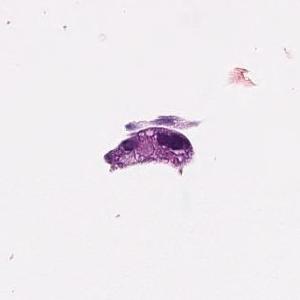
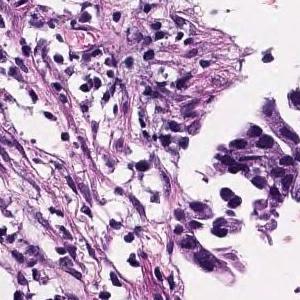
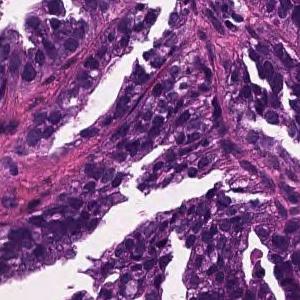
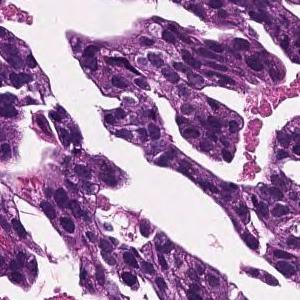
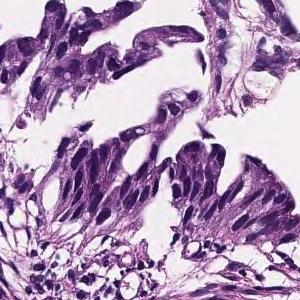
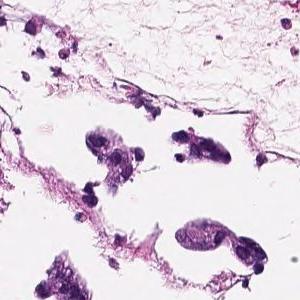
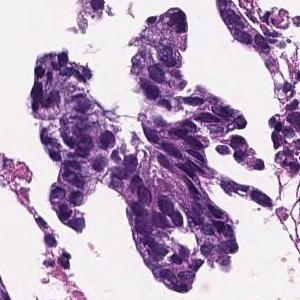
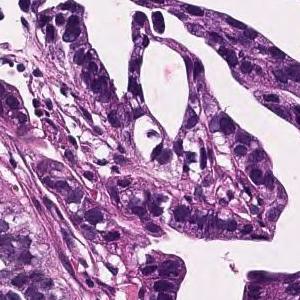
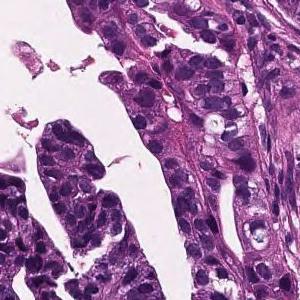
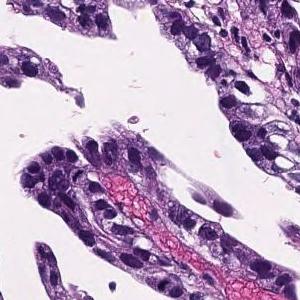
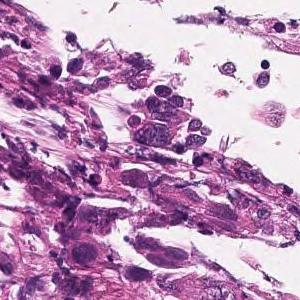
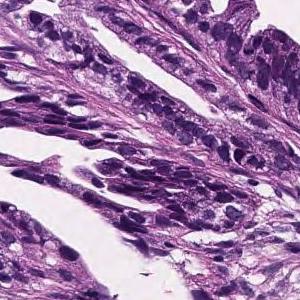
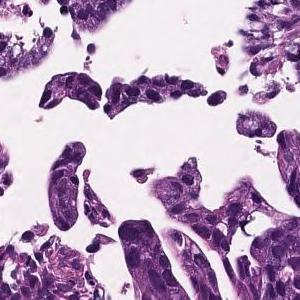
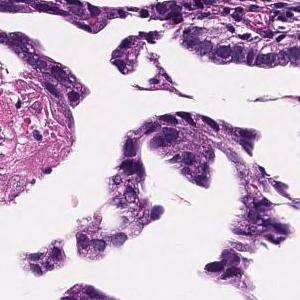
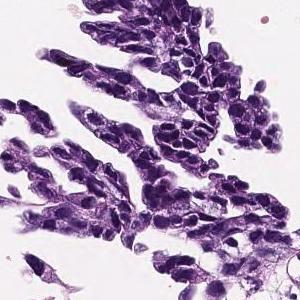
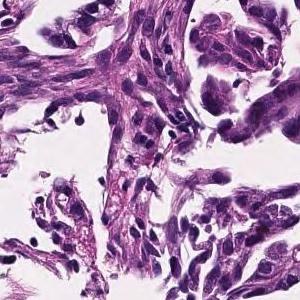
20× magnification, H&E stain, 16 patches cut from one gastric biopsy slide, each 300 × 300 pixels.
Pathology report for the biopsy slide these tiles were cut from. The report describes the whole slide, diagnosis included: not every finding it names need appear in these tiles, which may also show non-tumor tissue.
In the lamina propria, tumor tissue that invades by forming medium-sized to small, irregular glandular ducts is observed. moderately differentiated tubular adenocarcinoma
